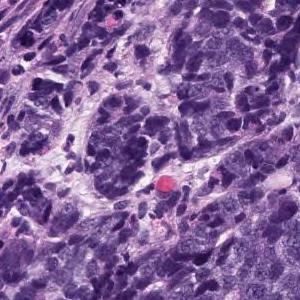
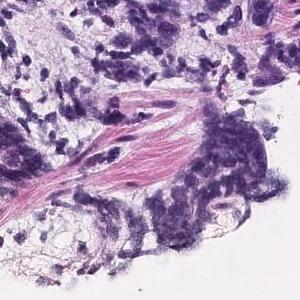
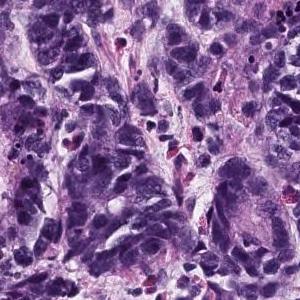
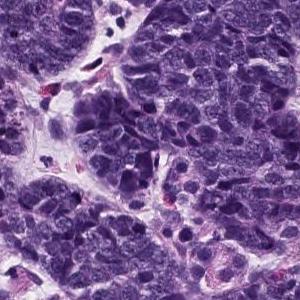
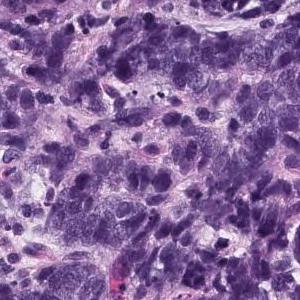
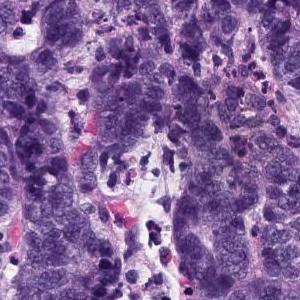
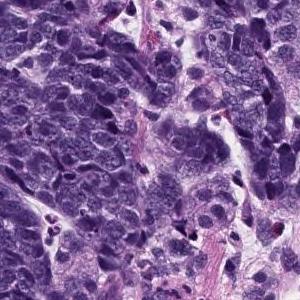
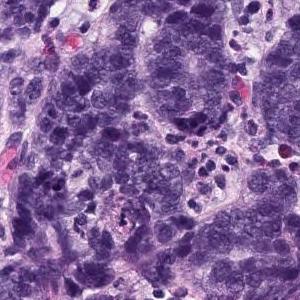
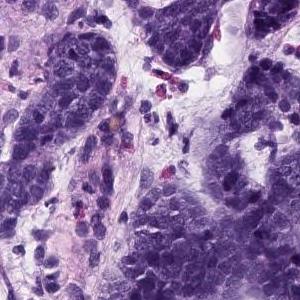
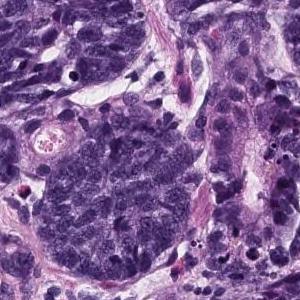
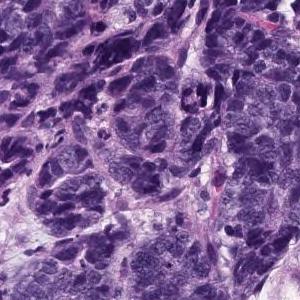
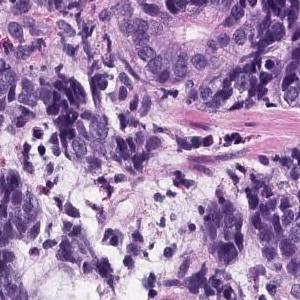
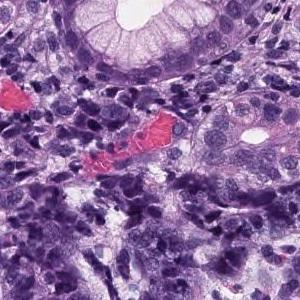
13 tiles cut from one stomach biopsy slide, each 300 × 300 pixels, H&E stain, ×20.
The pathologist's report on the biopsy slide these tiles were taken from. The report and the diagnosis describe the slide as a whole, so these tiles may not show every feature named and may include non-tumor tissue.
Group 5, Adenocarcinoma. Moderately to poorly differentiated adenocarcinoma
